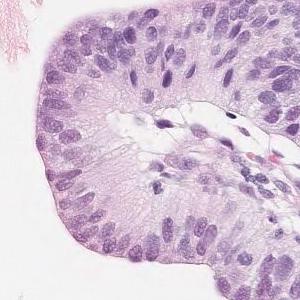
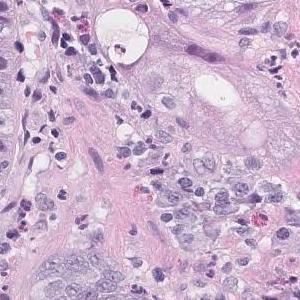
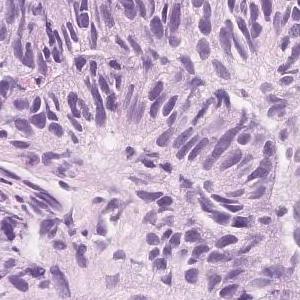
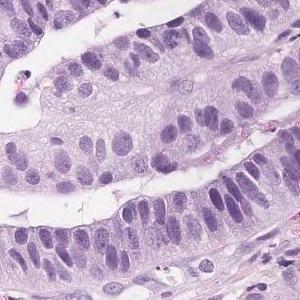
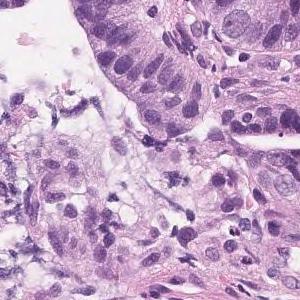
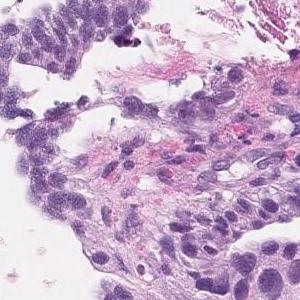
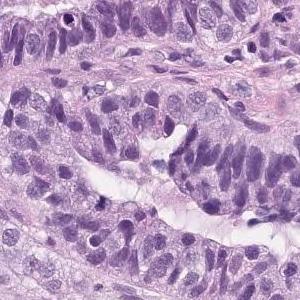
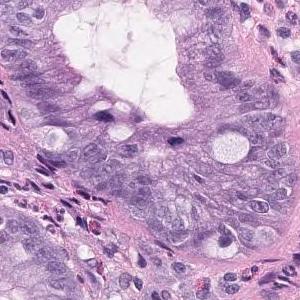
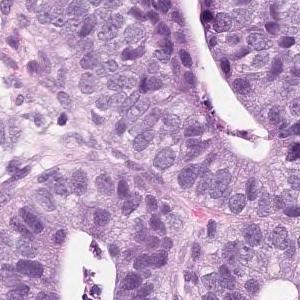
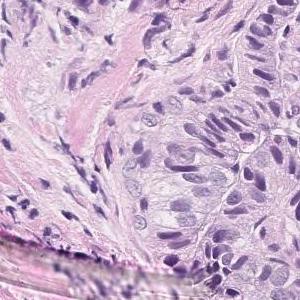
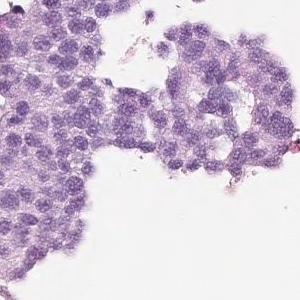
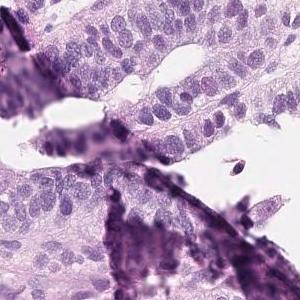
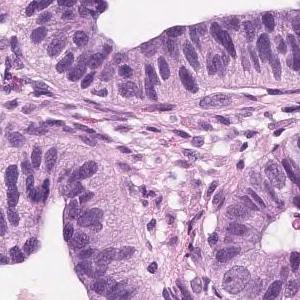
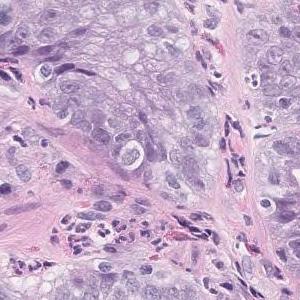
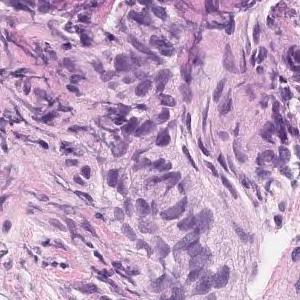
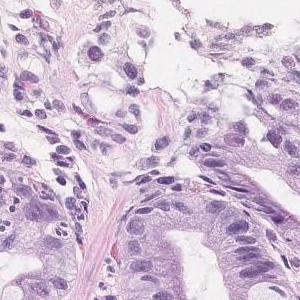
20× magnification, hematoxylin and eosin stain, 16 image tiles from a single gastric biopsy slide, each 300 × 300 pixels.
The pathologist's report on the biopsy slide these tiles were taken from. The report and the diagnosis cover the entire slide, so not every feature they name need be visible here, and some tissue shown may not be tumor.
Tumor tissue in which highly columnar atypical epithelial cells with nuclear enlargement and increased nuclear chromatin show papillary to papillary ductal structure and proliferate is observed. Papillary adenocarcinoma.
